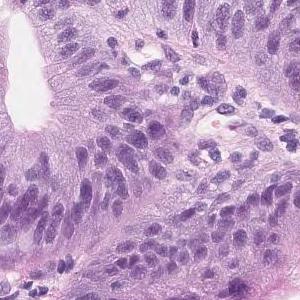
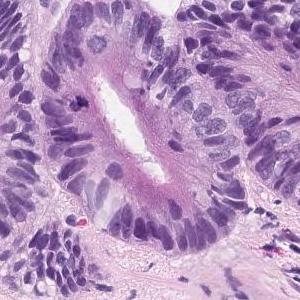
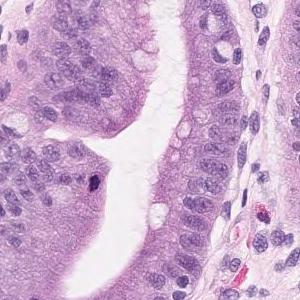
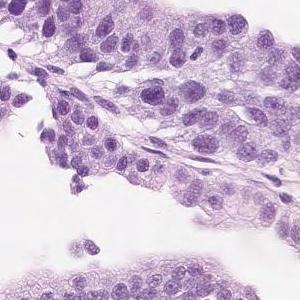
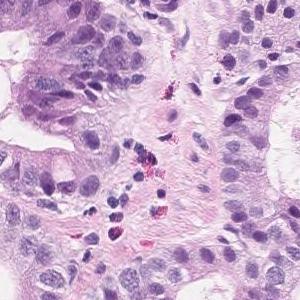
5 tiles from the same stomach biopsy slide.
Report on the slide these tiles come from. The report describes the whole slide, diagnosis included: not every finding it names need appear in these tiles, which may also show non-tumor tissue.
Short atypical epithelium with swelling of the nucleus shows proliferating, large and small irregular ductal structures. Well to moderately differentiated tubular adenocarcinoma (well differentiated tubular adenocarcinoma-moderately differentiated tubular adenocarcinoma)
Classified as well to moderately differentiated tubular adenocarcinoma.
